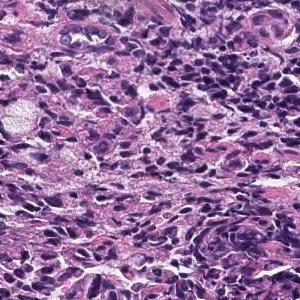
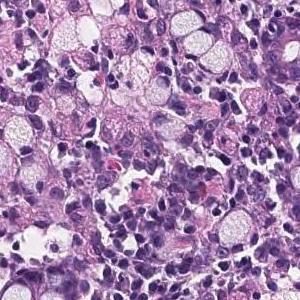
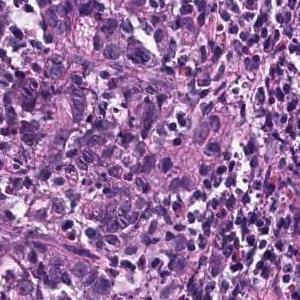
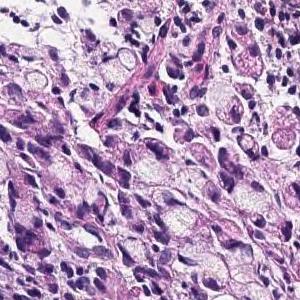
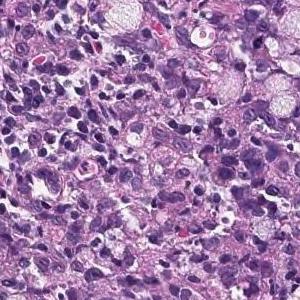
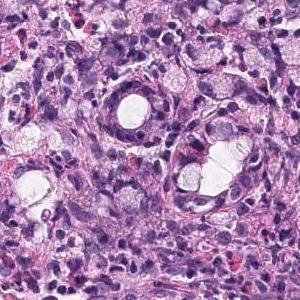
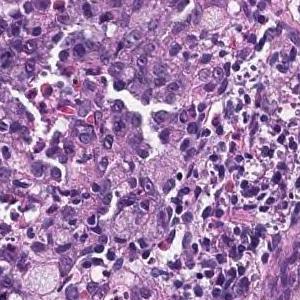
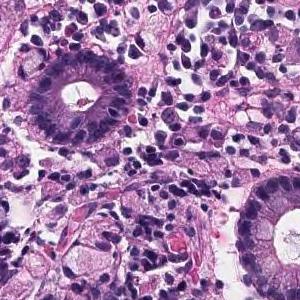
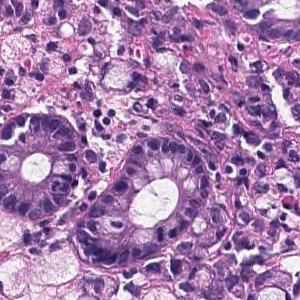
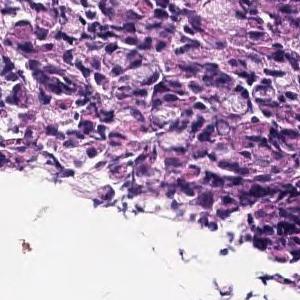
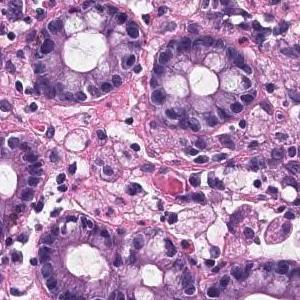
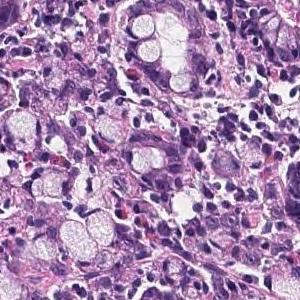
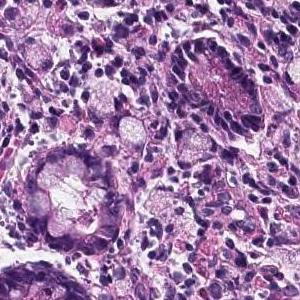
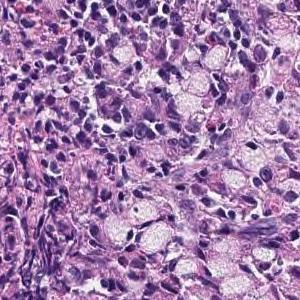
14 tiles cut from one stomach biopsy slide · each 300 × 300 pixels · H&E stain.
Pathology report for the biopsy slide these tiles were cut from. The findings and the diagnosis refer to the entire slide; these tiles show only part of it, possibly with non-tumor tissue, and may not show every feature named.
A tumor tissue consisting of signet ring cell carcinoma cells is observed in the lamina propria. Signet ring cell carcinoma.
